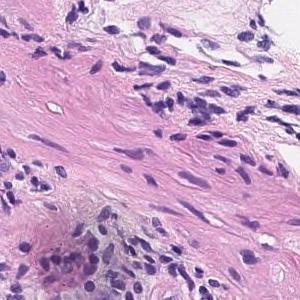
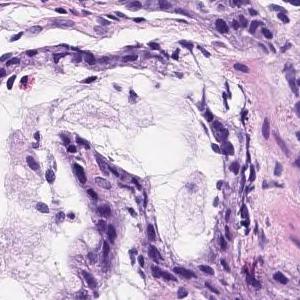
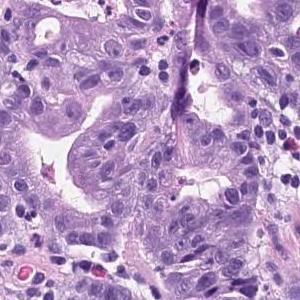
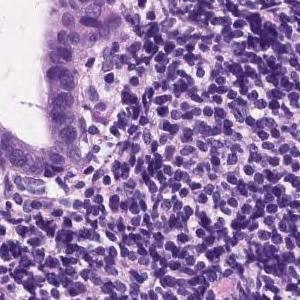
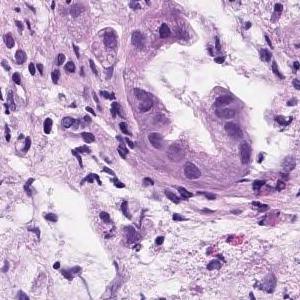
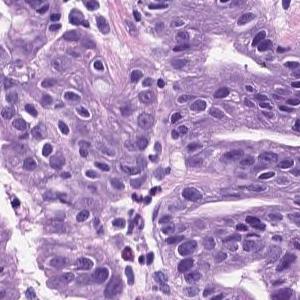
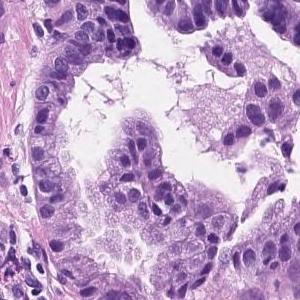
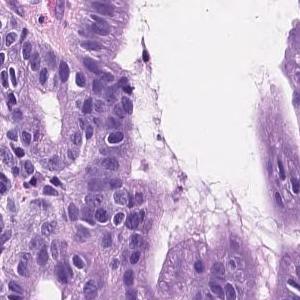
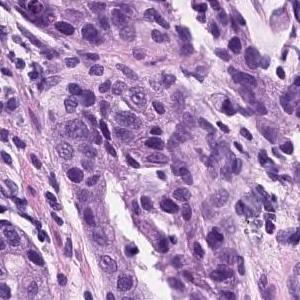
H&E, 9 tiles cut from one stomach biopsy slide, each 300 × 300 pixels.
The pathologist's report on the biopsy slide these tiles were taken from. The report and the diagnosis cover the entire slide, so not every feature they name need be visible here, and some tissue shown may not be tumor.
Tumor tissue consisting of medium-sized and irregular ducts is observed infiltrating in the superficial epithelium. Tumor cells are highly columnar, with nuclei aligned basolaterally and polarized. Well differentiated tubular adenocarcinoma.
